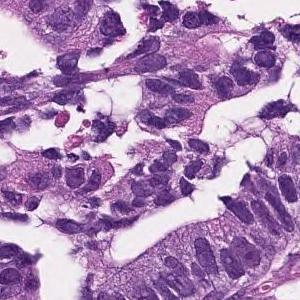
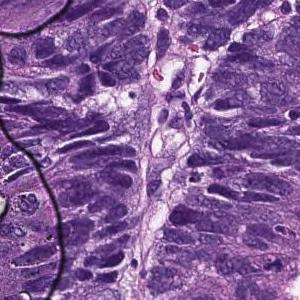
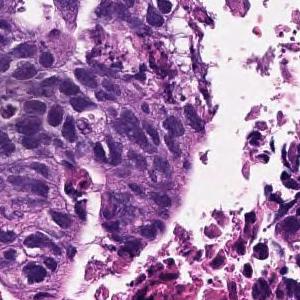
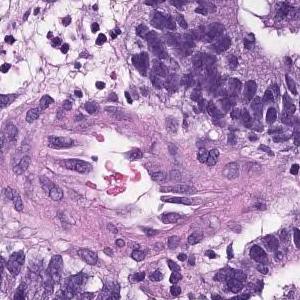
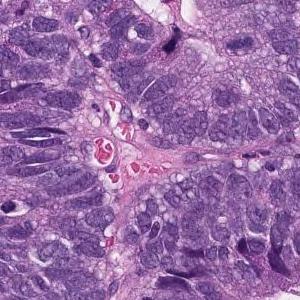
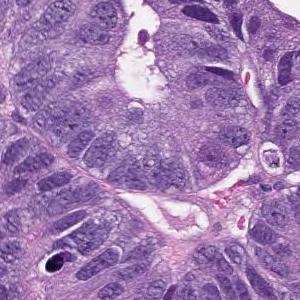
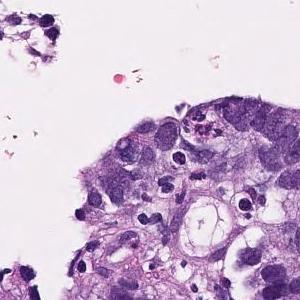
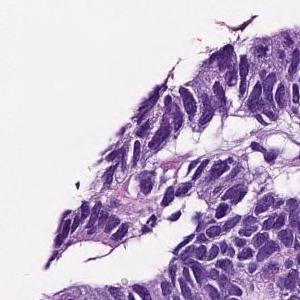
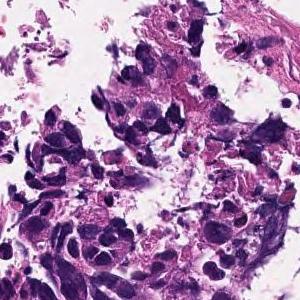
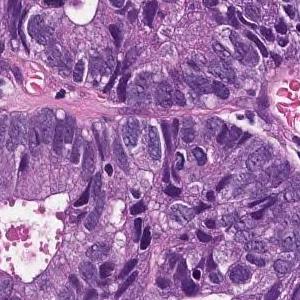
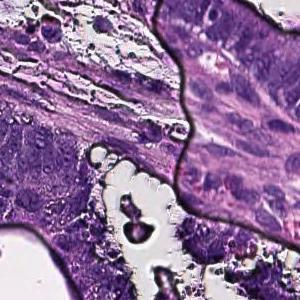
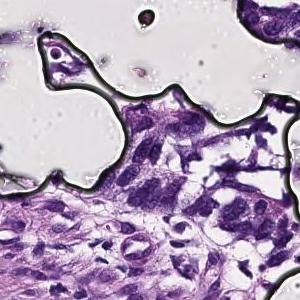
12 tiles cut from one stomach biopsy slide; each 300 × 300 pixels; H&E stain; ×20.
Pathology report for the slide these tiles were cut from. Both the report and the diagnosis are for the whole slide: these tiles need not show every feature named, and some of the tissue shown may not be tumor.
In the superficial epithelium, tumor tissue that invades by forming medium-sized to small, irregular ducts is observed. moderately differentiated tubular adenocarcinoma.
